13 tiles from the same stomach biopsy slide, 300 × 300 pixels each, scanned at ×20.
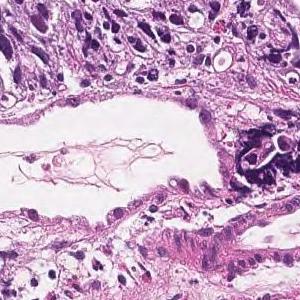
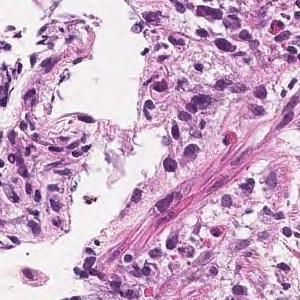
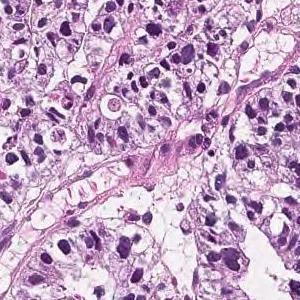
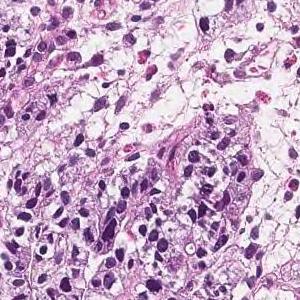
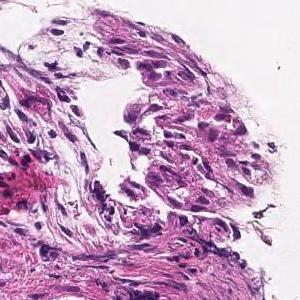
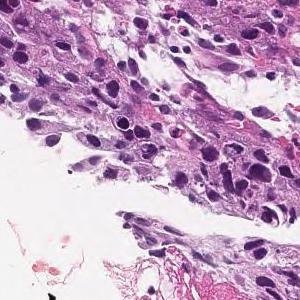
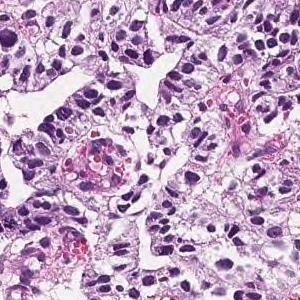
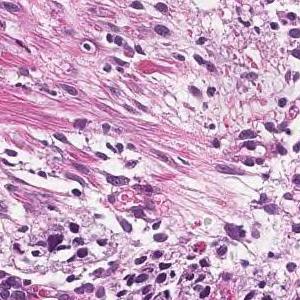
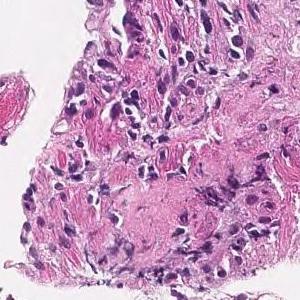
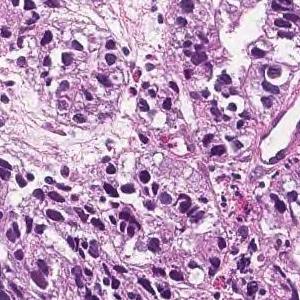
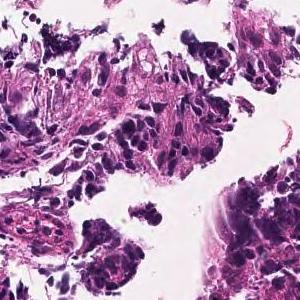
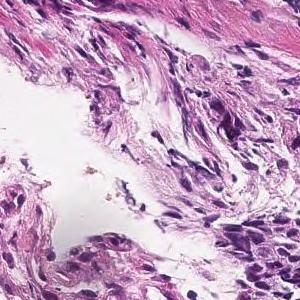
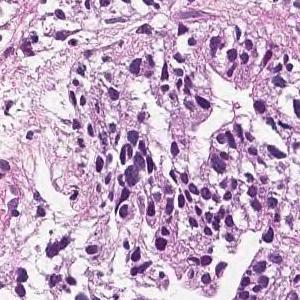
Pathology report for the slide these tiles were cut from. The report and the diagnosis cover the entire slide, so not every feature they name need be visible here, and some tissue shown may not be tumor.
In the superficial epithelium, tumor tissue that invades by forming medium-sized to small, irregular ducts is observed. moderately differentiated tubular adenocarcinoma.
